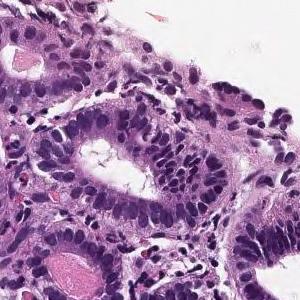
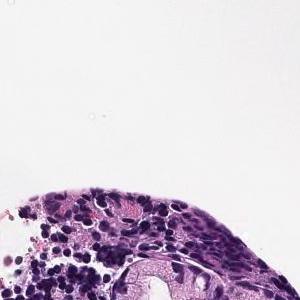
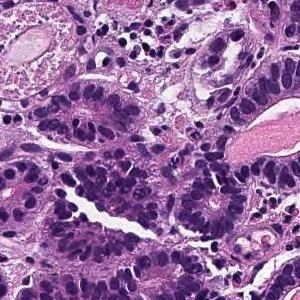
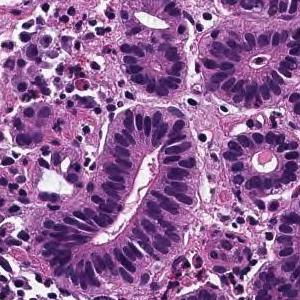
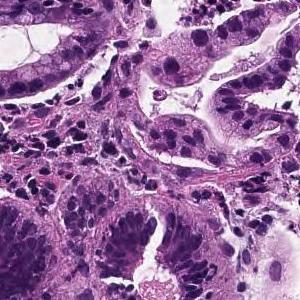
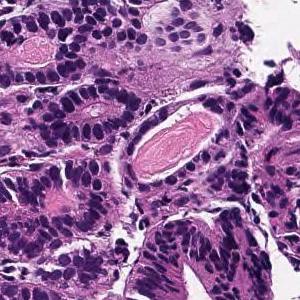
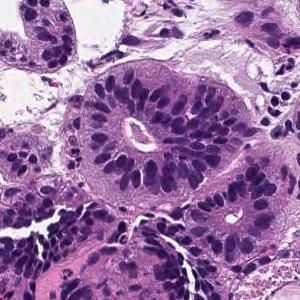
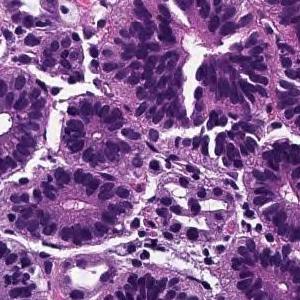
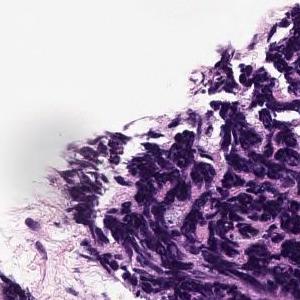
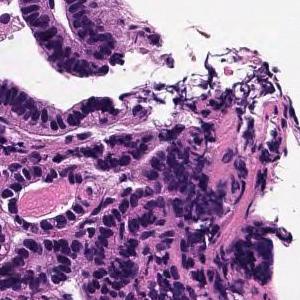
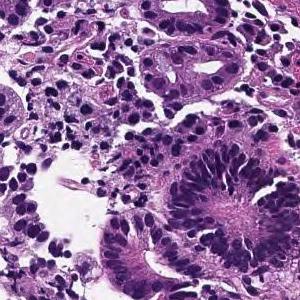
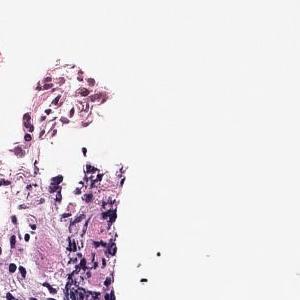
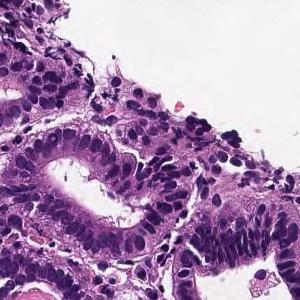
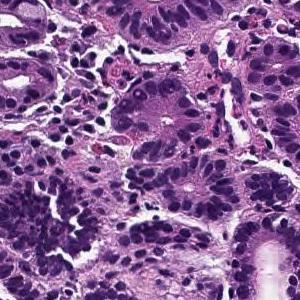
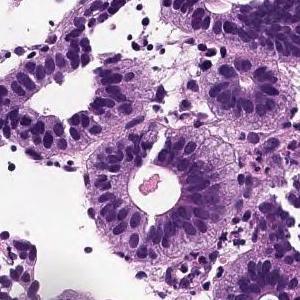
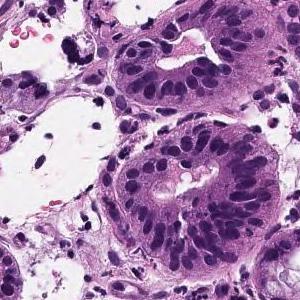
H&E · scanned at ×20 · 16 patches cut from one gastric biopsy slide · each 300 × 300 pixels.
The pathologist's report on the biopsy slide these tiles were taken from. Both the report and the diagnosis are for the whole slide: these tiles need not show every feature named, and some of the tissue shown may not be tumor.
From the superficial epithelium to the muscularis mucosae, tumor tissue consisting of medium-sized and irregular glandular ducts infiltrating is observed. Well differentiated tubular adenocarcinoma
